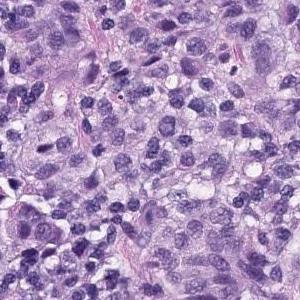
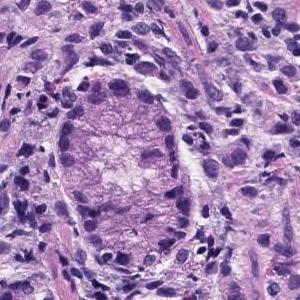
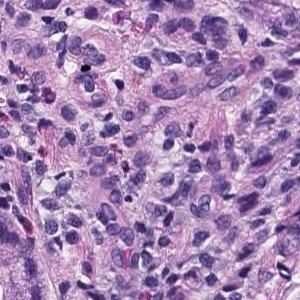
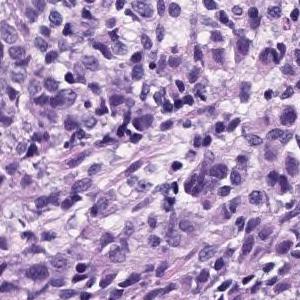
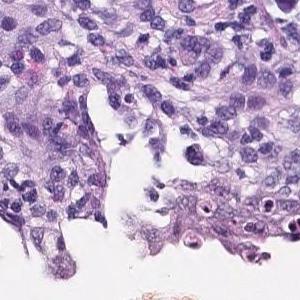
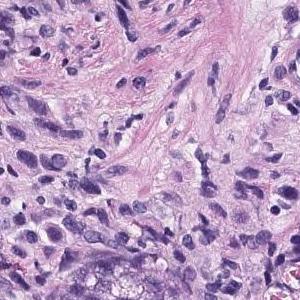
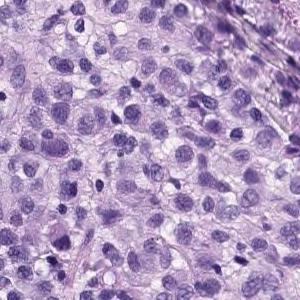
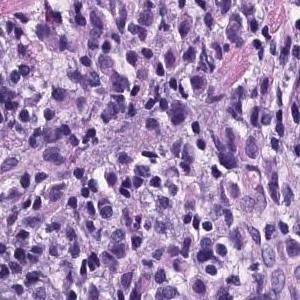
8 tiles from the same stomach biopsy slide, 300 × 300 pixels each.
Pathology report for the slide these tiles were cut from. The report describes the whole slide, diagnosis included: not every finding it names need appear in these tiles, which may also show non-tumor tissue.
There are medium-sized atypical cells with marked nuclear swelling and increased N/C ratio, which grow into solid or isolated scattered cells. Poorly differentiated adenocarcinoma
Histologic type: Poorly differentiated adenocarcinoma, solid type, a category of the Japanese Classification of Gastric Carcinoma; in the WHO 2019 classification it is tubular adenocarcinoma, poorly differentiated.
